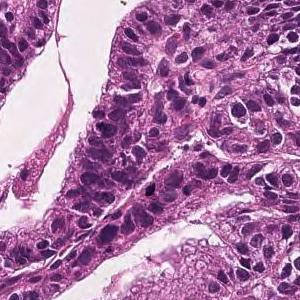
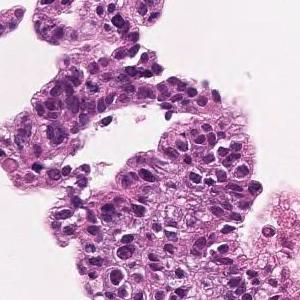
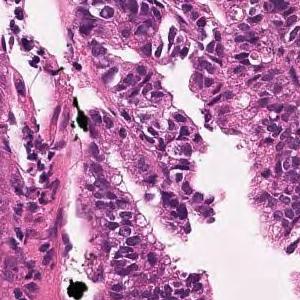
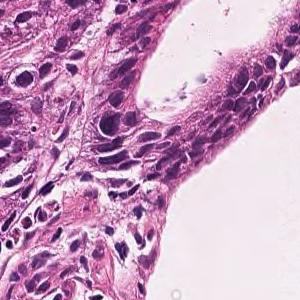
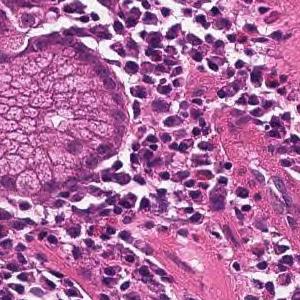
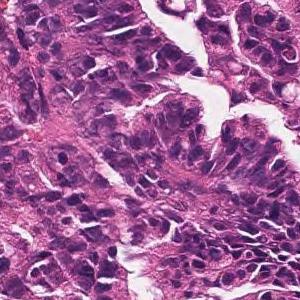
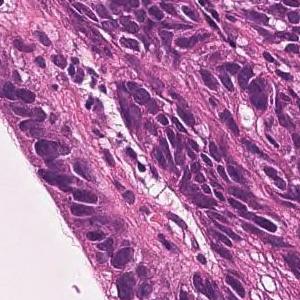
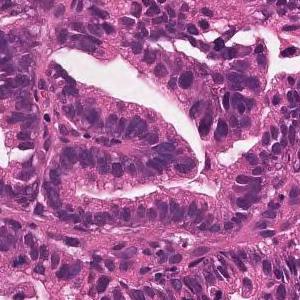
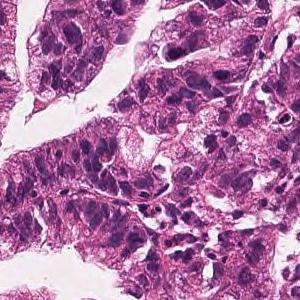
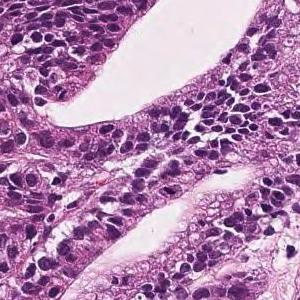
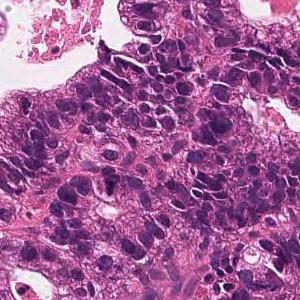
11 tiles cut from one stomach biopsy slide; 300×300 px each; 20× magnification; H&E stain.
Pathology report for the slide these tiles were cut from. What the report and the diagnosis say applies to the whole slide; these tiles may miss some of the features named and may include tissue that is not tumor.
On the superficial epithelium, tumor tissue consisting of large, irregular glandular ducts partially fused and infiltrated is observed. Well to moderately differentiated tubular adenocarcinoma (well differentiated tubular adenocarcinoma, moderately differentiated tubular adenocarcinoma)
Classified as well to moderately differentiated tubular adenocarcinoma.
